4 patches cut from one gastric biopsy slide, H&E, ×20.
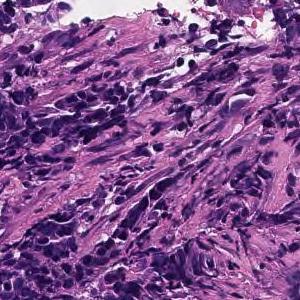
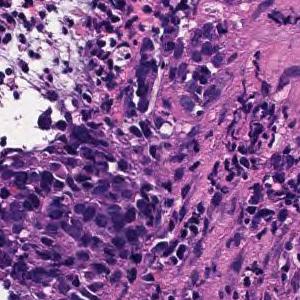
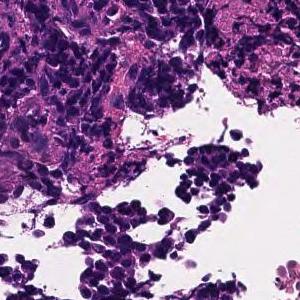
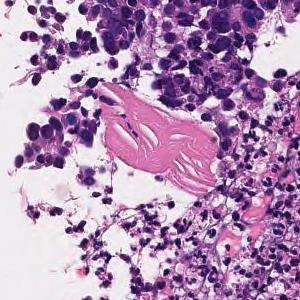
Pathology report for the biopsy slide these tiles were cut from. The report and the diagnosis cover the entire slide, so not every feature they name need be visible here, and some tissue shown may not be tumor.
Tumor tissue consisting of cord-like or small, irregular glandular ducts fused and infiltrated is observed in the superficial epithelium. Poorly differentiated adenocarcinoma, non-solid type
"Non-solid type" is a category of the Japanese Classification of Gastric Carcinoma.
